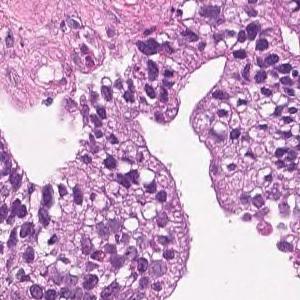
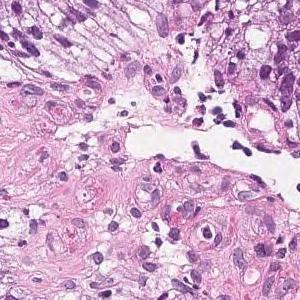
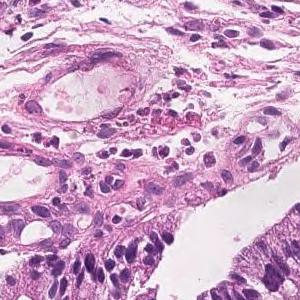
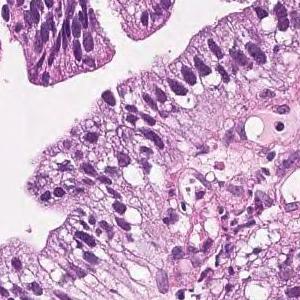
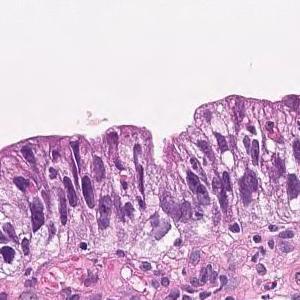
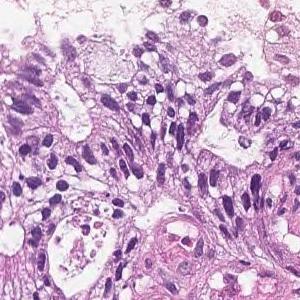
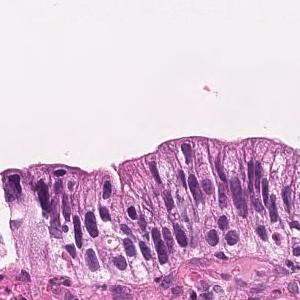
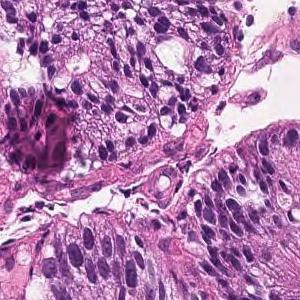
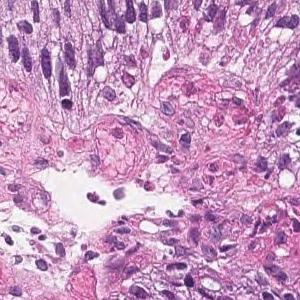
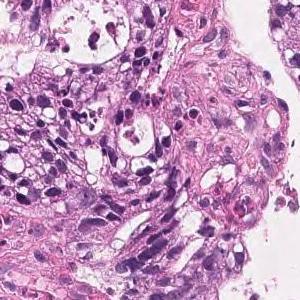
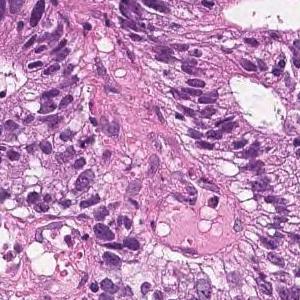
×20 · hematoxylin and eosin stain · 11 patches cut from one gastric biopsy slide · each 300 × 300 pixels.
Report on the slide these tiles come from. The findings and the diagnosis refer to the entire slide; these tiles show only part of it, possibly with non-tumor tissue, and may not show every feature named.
On the superficial epithelium, tumor tissue that infiltrates by forming medium-sized papillary or small irregular ducts is observed. Papillary adenocarcinoma
